8 patches cut from one gastric biopsy slide; 300×300 px each; ×20; H&E.
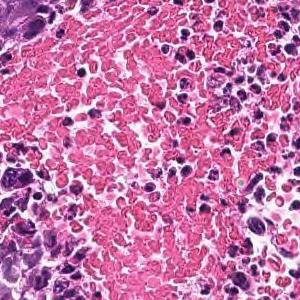
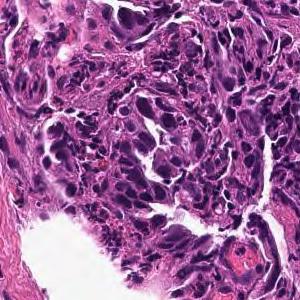
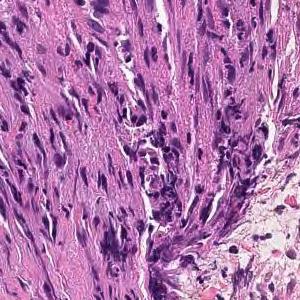
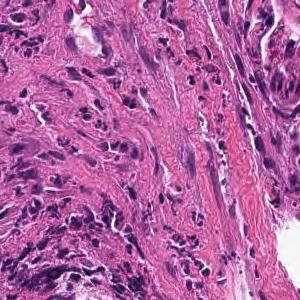
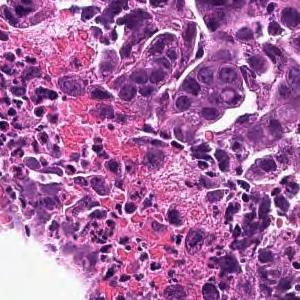
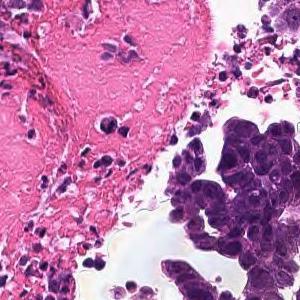
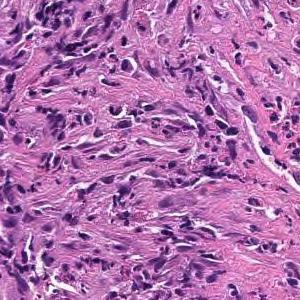
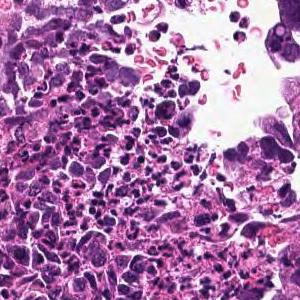
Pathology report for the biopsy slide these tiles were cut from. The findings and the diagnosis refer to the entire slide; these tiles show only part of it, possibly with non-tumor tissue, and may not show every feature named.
In the superficial epithelium, tumor tissue that invades by forming medium-sized to small, irregular ducts is observed. moderately differentiated tubular adenocarcinoma.
